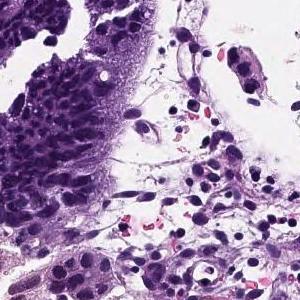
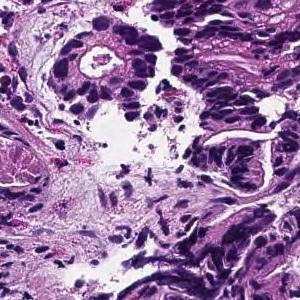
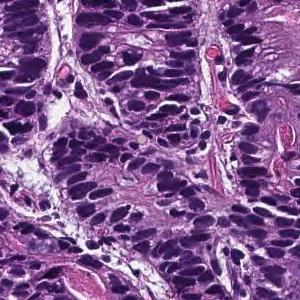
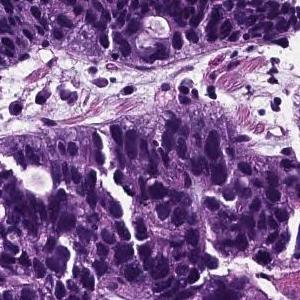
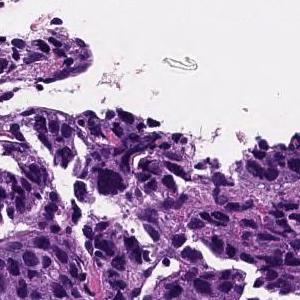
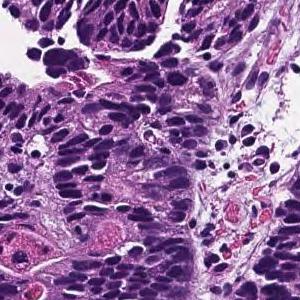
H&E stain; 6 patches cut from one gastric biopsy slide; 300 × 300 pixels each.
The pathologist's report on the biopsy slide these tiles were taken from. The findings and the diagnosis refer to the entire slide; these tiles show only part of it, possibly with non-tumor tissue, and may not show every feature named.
From the superficial epithelium to the muscularis mucosae, tumor tissue consisting of medium-sized and irregular glandular ducts infiltrating is observed. Well differentiated tubular adenocarcinoma
